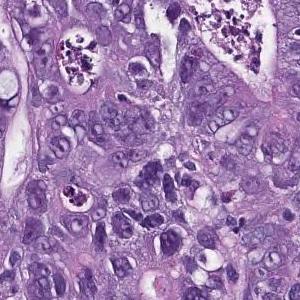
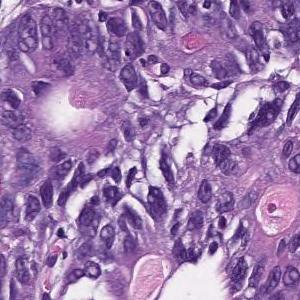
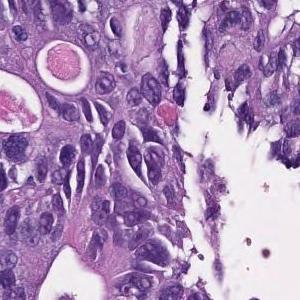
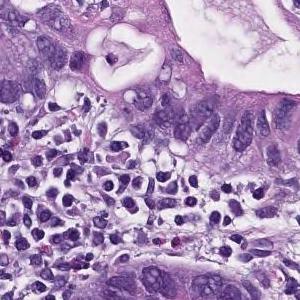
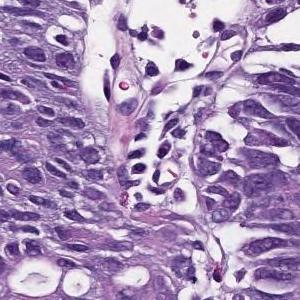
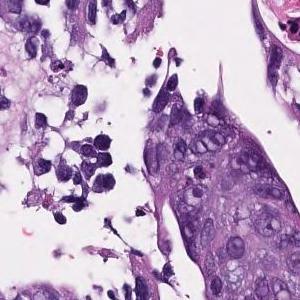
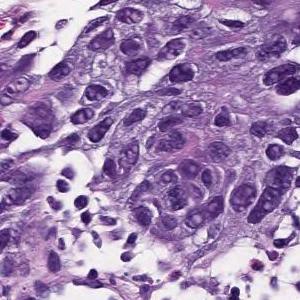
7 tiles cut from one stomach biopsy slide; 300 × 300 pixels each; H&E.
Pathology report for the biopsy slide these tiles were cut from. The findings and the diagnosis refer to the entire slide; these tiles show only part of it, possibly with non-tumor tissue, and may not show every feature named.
In the superficial epithelium, tumor tissue that invades by forming medium-sized to small, irregular ducts is observed. moderately differentiated tubular adenocarcinoma.
